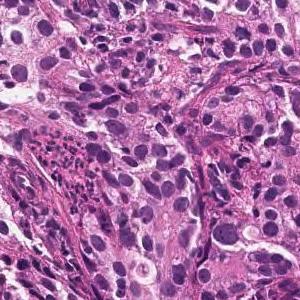
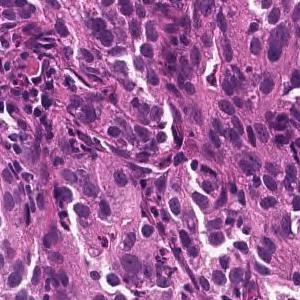
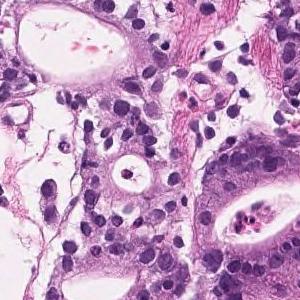
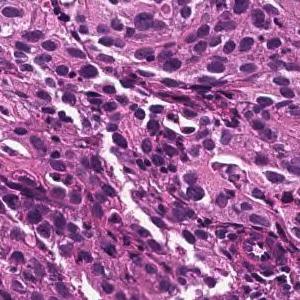
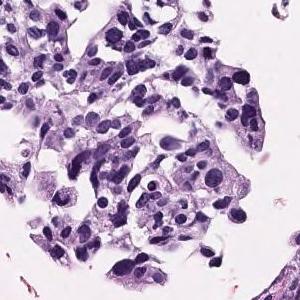
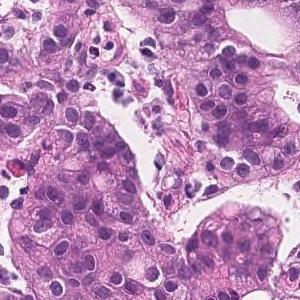
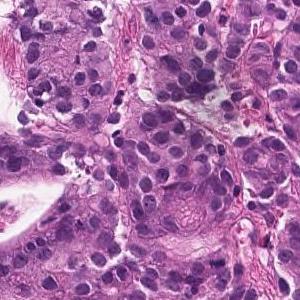
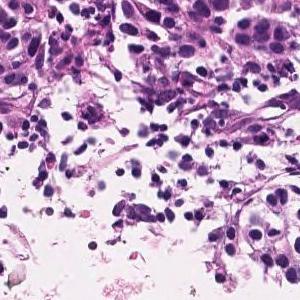
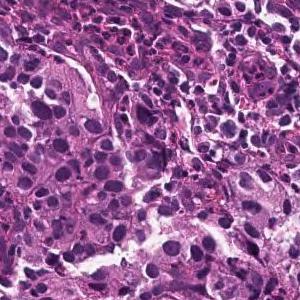
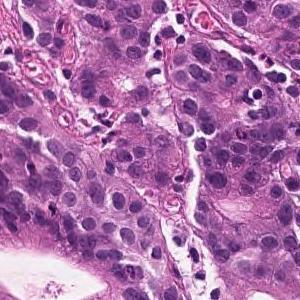
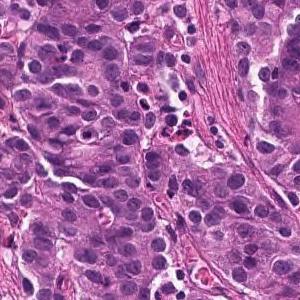
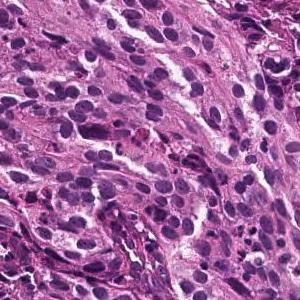
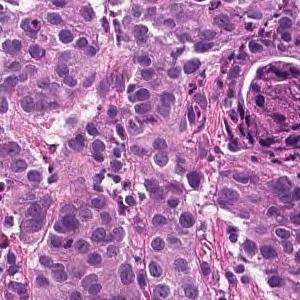
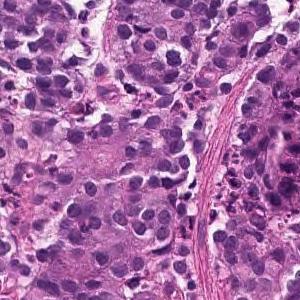
H&E stain; ×20; 14 tiles from the same stomach biopsy slide; 300 × 300 pixels each.
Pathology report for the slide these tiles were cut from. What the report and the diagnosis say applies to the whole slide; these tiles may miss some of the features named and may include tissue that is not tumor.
Medium to small, irregular glandular ducts are formed in the superficial epithelium, and in some cases, the glandular ducts are fused to show solid alveolar lesions and infiltrating tumor tissue is observed. Moderately to poorly differentiated adenocarcinoma.
